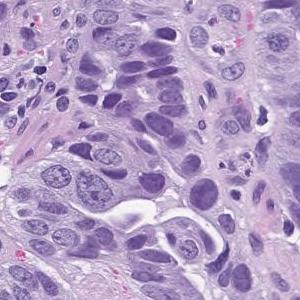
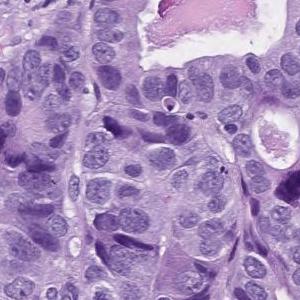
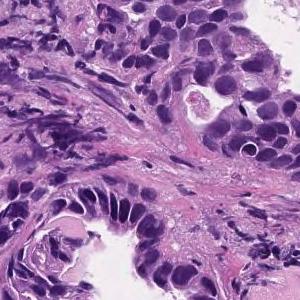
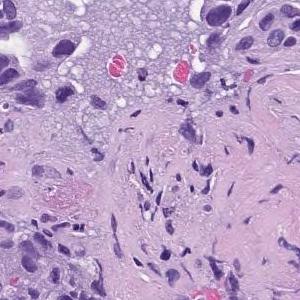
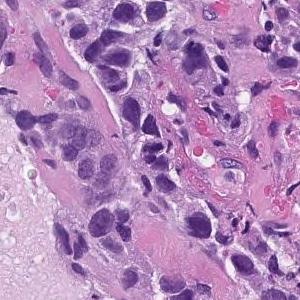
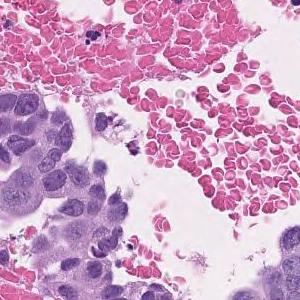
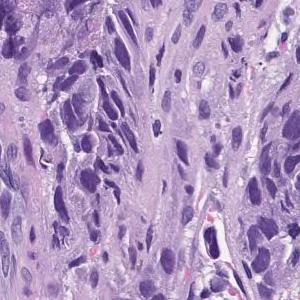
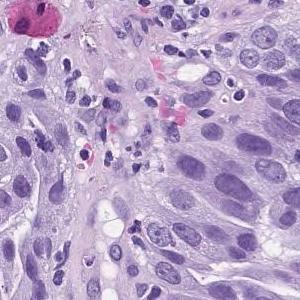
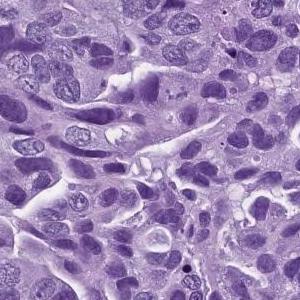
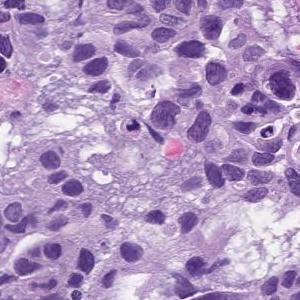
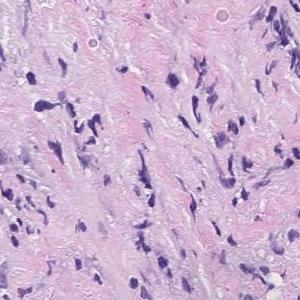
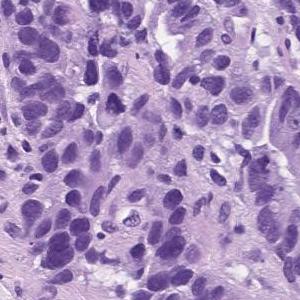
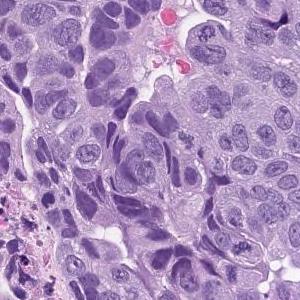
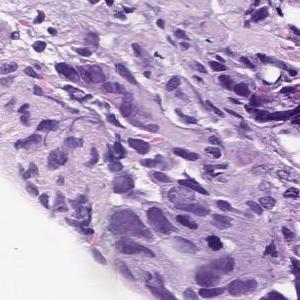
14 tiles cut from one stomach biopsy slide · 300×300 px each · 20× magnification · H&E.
Report on the slide these tiles come from. The report describes the whole slide, diagnosis included: not every finding it names need appear in these tiles, which may also show non-tumor tissue.
In the superficial epithelium, tumor tissue that invades by forming medium-sized to small, irregular ducts is observed. moderately differentiated tubular adenocarcinoma.
